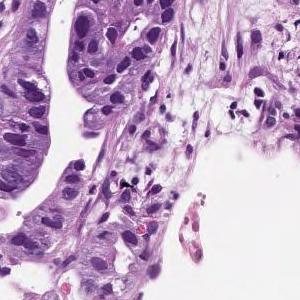
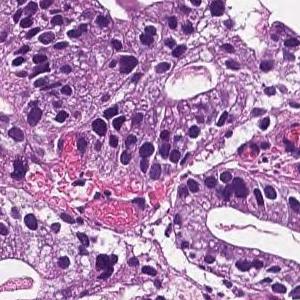
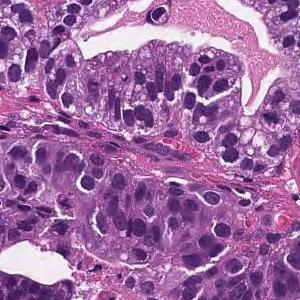
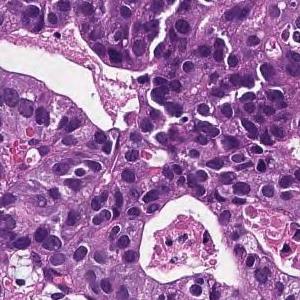
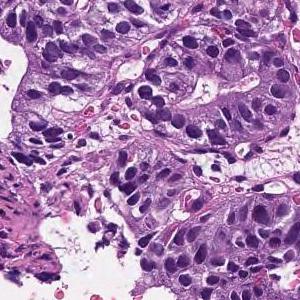
Scanned at ×20 · hematoxylin and eosin stain · 5 image tiles from a single gastric biopsy slide · each 300 × 300 pixels.
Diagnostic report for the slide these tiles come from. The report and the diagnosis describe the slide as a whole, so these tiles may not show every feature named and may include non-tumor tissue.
On the superficial epithelium, tumor tissue consisting of large, irregular glandular ducts partially fused and infiltrated is observed. Well to moderately differentiated tubular adenocarcinoma (well differentiated tubular adenocarcinoma, moderately differentiated tubular adenocarcinoma)
Subtype: Well to moderately differentiated tubular adenocarcinoma.
